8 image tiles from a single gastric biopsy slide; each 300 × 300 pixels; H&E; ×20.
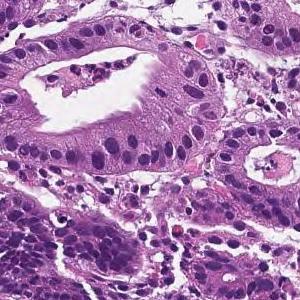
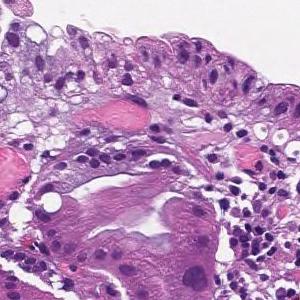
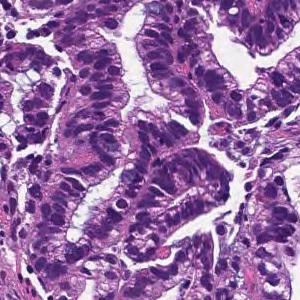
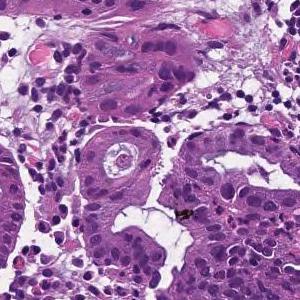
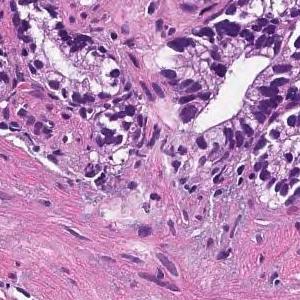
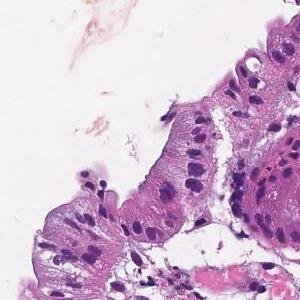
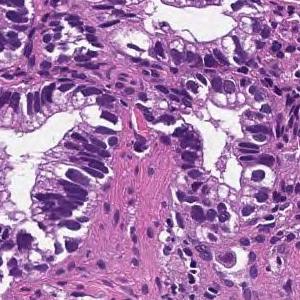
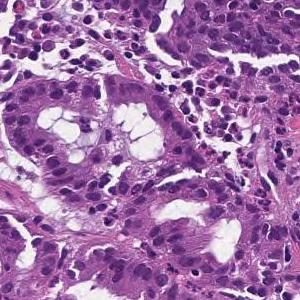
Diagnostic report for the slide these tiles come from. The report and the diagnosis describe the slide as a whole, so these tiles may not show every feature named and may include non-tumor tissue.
From the superficial epithelium to the muscularis mucosae, tumor tissue consisting of medium-sized and irregular glandular ducts infiltrating is observed. Well differentiated tubular adenocarcinoma
